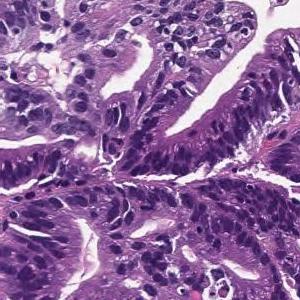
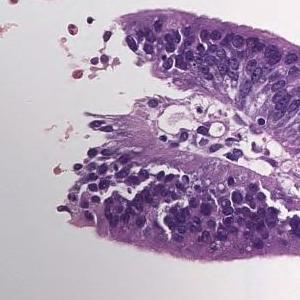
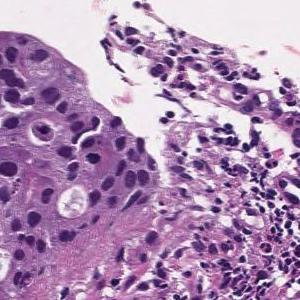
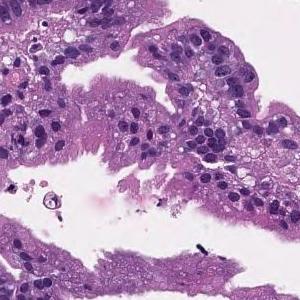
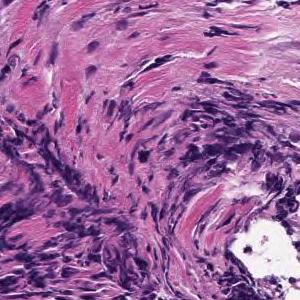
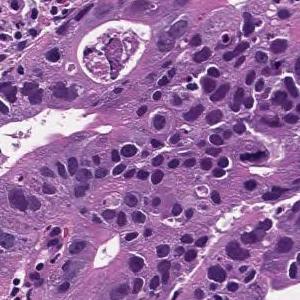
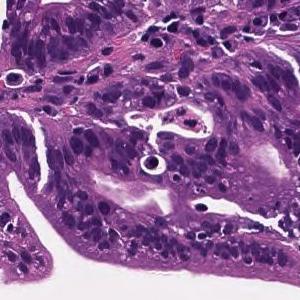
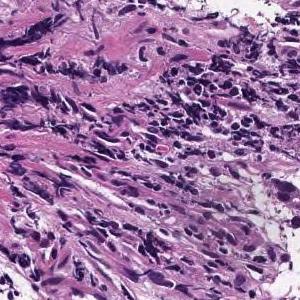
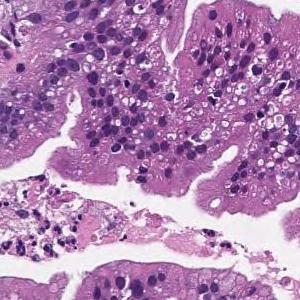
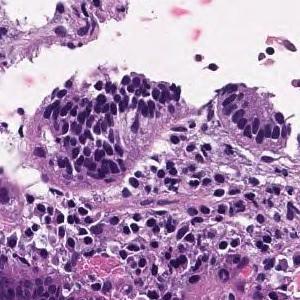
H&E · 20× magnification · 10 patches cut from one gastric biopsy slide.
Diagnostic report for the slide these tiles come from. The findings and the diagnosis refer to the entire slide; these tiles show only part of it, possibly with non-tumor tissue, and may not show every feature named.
Tumor cells are large, highly columnar, large club-shaped nuclei, and are associated with chromatin aggregation. Papillary adenocarcinoma.
